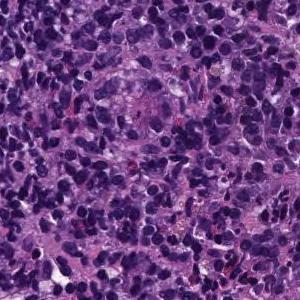
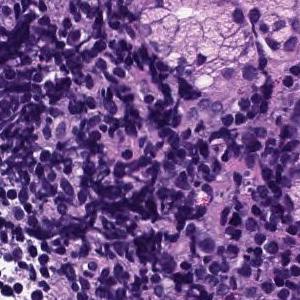
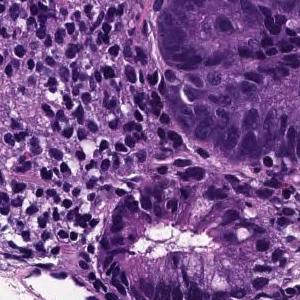
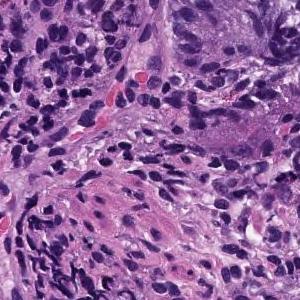
Hematoxylin and eosin stain · scanned at ×20 · 4 tiles from the same stomach biopsy slide.
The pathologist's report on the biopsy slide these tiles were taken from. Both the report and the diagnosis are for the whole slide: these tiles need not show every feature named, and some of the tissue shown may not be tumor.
Medium to small, irregular glandular ducts are formed in the superficial epithelium, and in some cases, the glandular ducts are fused to show solid alveolar lesions and infiltrating tumor tissue is observed. Moderately to poorly differentiated adenocarcinoma.
